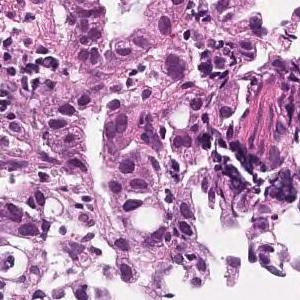
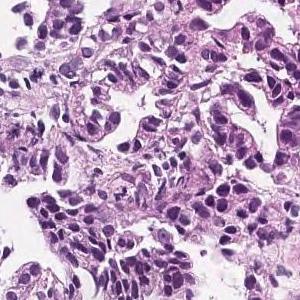
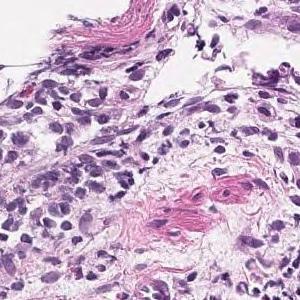
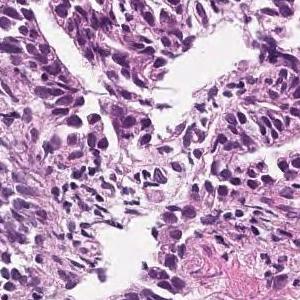
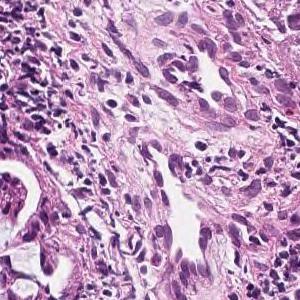
5 image tiles from a single gastric biopsy slide · 300×300 px each · ×20 · H&E.
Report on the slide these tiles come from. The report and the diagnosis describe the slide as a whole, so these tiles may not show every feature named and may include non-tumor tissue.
In the superficial epithelium, tumor tissue that invades by forming medium-sized to small, irregular ducts is observed. moderately differentiated tubular adenocarcinoma.
